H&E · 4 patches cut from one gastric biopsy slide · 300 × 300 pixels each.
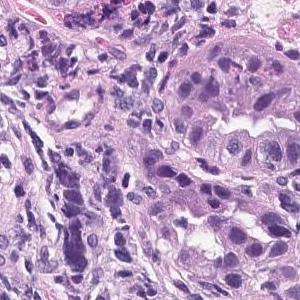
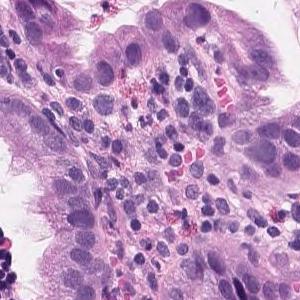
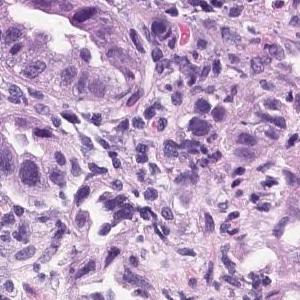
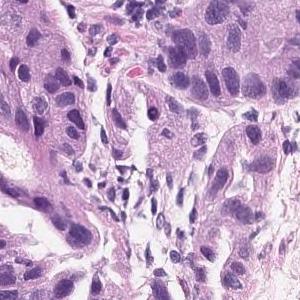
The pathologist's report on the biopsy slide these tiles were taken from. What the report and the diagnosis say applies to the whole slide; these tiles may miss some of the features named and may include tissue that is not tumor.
Tumor tissue consisting of medium-sized and irregular ducts is observed infiltrating in the superficial epithelium. Tumor cells are highly columnar, with nuclei aligned basolaterally and polarized. Well differentiated tubular adenocarcinoma.
